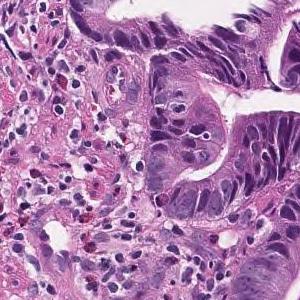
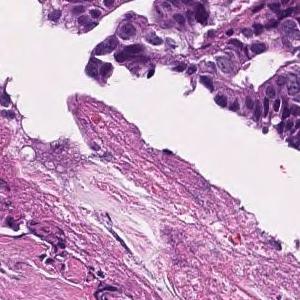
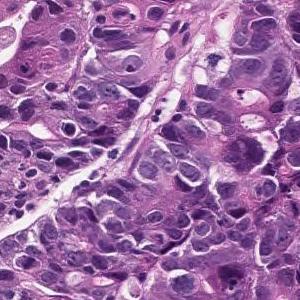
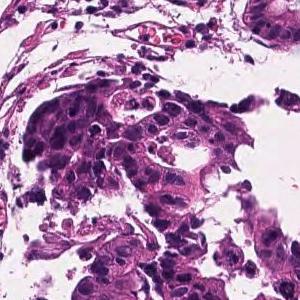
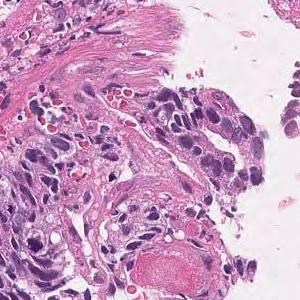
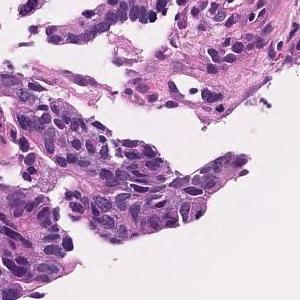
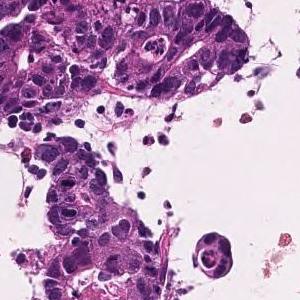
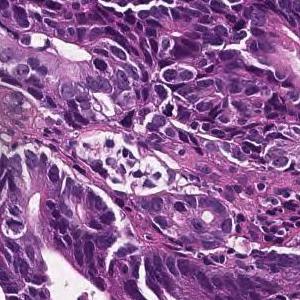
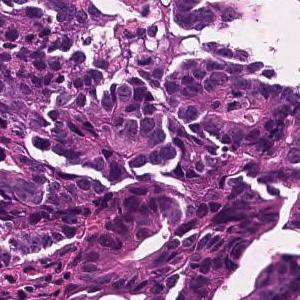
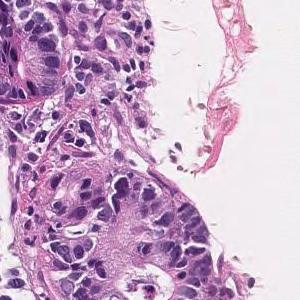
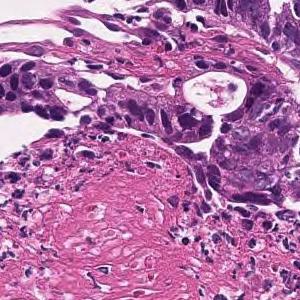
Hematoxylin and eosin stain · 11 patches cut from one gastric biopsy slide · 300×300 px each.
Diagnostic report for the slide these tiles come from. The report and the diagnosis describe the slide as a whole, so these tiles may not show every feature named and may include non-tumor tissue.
In the superficial epithelium, tumor tissue that invades by forming medium-sized to small, irregular ducts is observed. moderately differentiated tubular adenocarcinoma.
